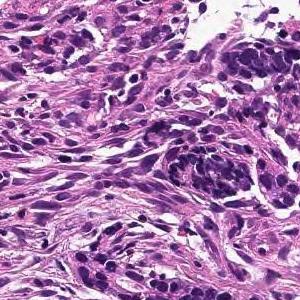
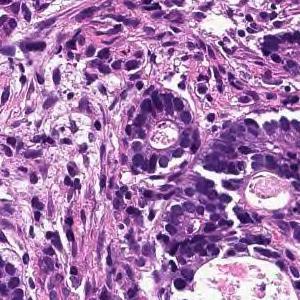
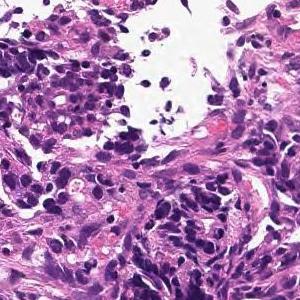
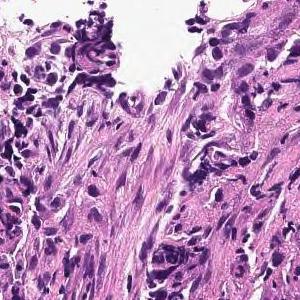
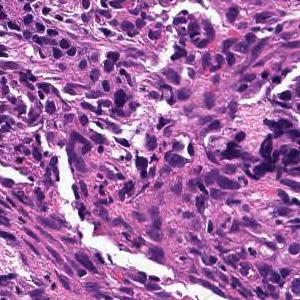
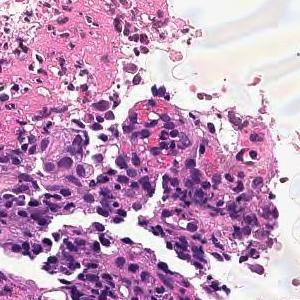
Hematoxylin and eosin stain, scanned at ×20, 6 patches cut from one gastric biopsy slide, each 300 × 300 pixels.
Pathology report for the biopsy slide these tiles were cut from. The report describes the whole slide, diagnosis included: not every finding it names need appear in these tiles, which may also show non-tumor tissue.
Tumor tissue consisting of medium-sized, cord-like or irregular glandular infiltration is observed in the superficial epithelium. Poorly differentiated adenocarcinoma, non-solid type or moderately differentiated tubular adenocarcinoma
Tumor subtype: moderately to poorly differentiated adenocarcinoma.
The non-solid type named here is a Japanese Classification of Gastric Carcinoma category.
